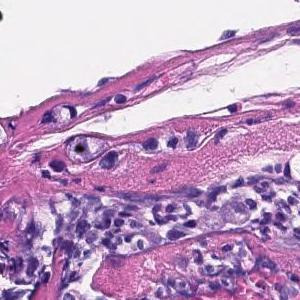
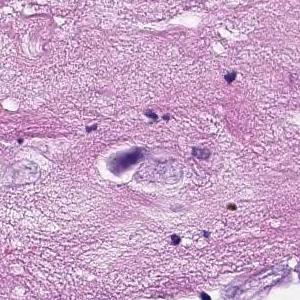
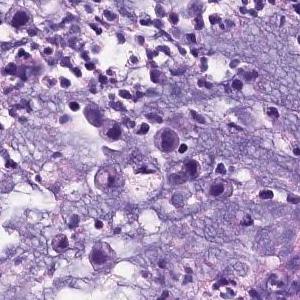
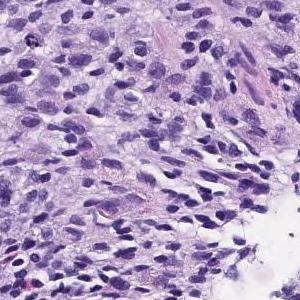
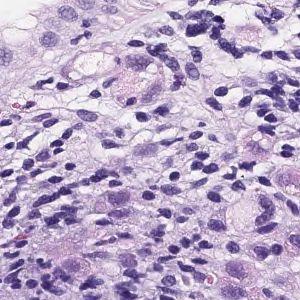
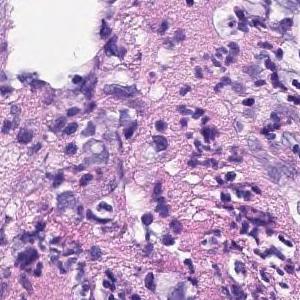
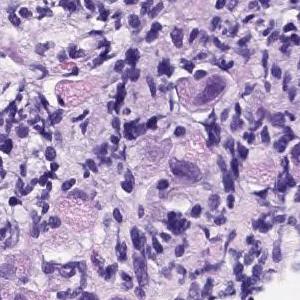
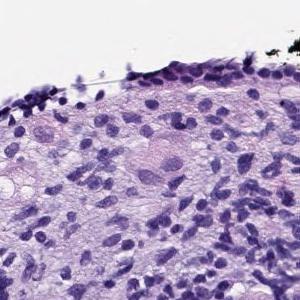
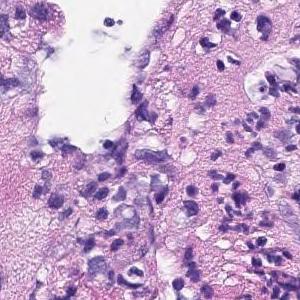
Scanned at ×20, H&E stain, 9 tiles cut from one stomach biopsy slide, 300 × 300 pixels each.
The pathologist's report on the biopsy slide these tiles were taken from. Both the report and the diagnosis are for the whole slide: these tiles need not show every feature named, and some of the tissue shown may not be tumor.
A large atypical epithelium lacking ductal construction with swelling of the nucleus is seen to proliferate solidly. Poorly differentiated adenocarcinoma.
Subtype: Poorly differentiated adenocarcinoma, non-solid type.
The non-solid type named here is a Japanese Classification of Gastric Carcinoma category.
